20× magnification; 11 tiles from the same stomach biopsy slide.
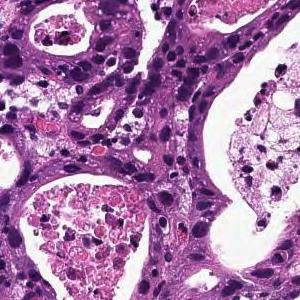
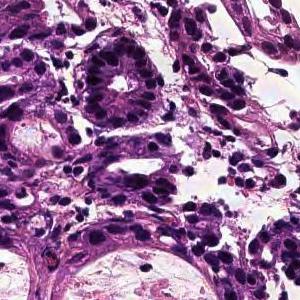
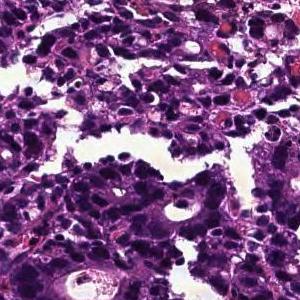
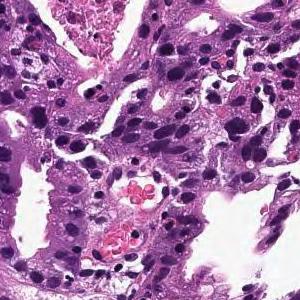
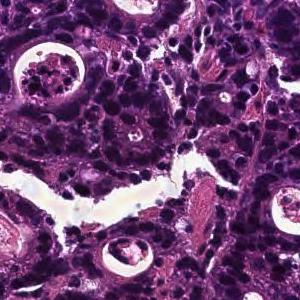
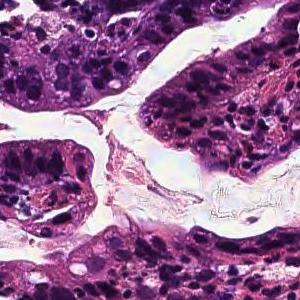
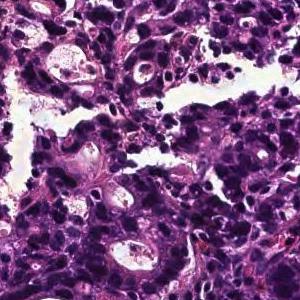
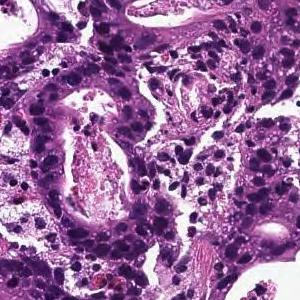
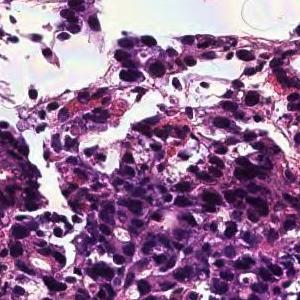
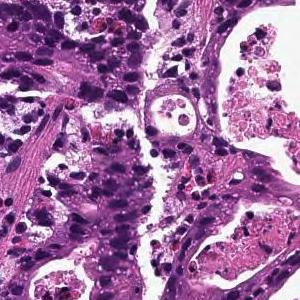
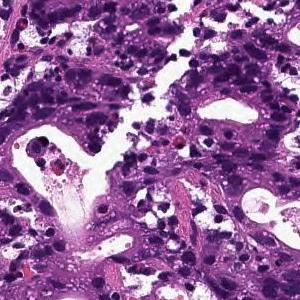
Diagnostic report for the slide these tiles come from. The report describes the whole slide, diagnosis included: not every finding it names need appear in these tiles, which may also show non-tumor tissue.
In the superficial epithelium, tumor tissue that invades by forming medium-sized to small, irregular ducts is observed. moderately differentiated tubular adenocarcinoma.
